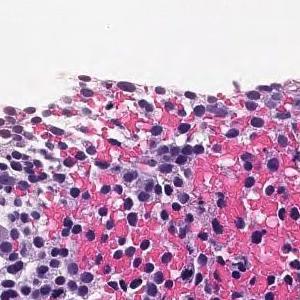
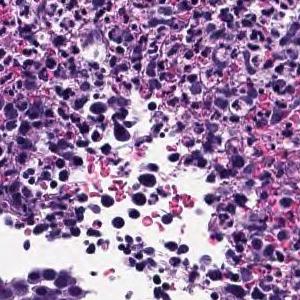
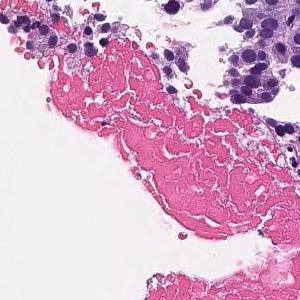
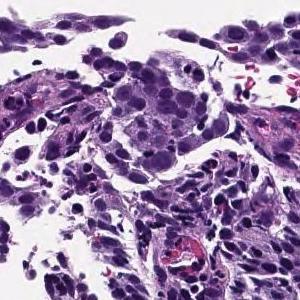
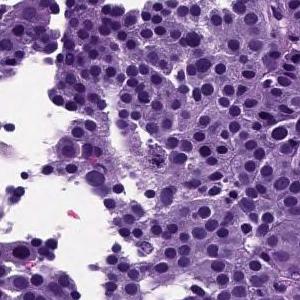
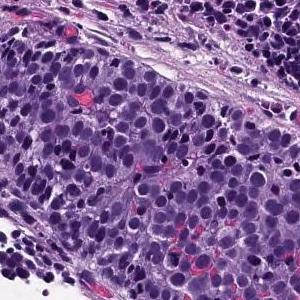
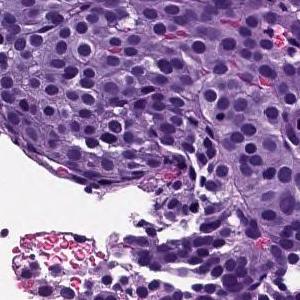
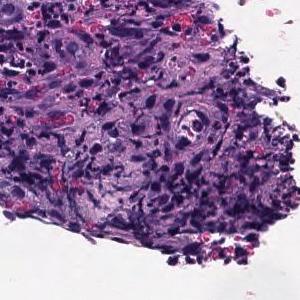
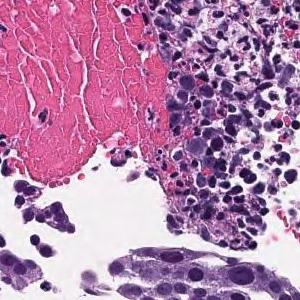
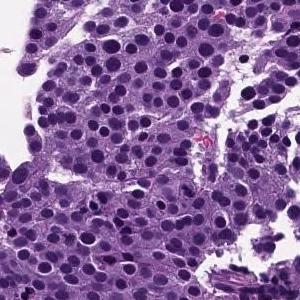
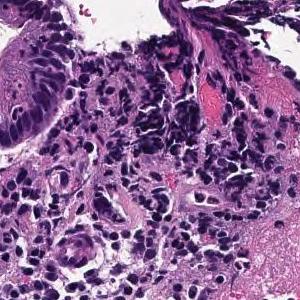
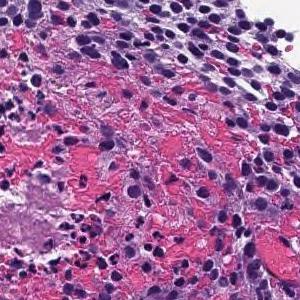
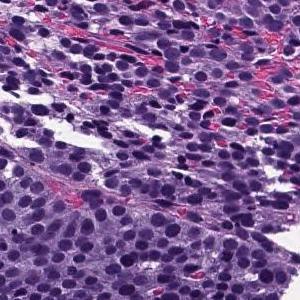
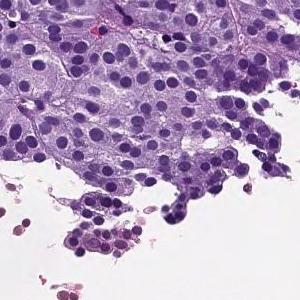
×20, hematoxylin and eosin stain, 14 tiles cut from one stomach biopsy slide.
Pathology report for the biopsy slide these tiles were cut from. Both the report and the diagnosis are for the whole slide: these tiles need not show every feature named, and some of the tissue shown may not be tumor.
The superficial epithelium shows a large sheet-like shape, and some tumor tissue infiltrates with small irregular ducts. Poorly differentiated adenocarcinoma, solid-type
Tumor subtype: poorly differentiated adenocarcinoma, solid type (Japanese Classification of Gastric Carcinoma). The WHO 2019 equivalent is tubular adenocarcinoma, poorly differentiated.
